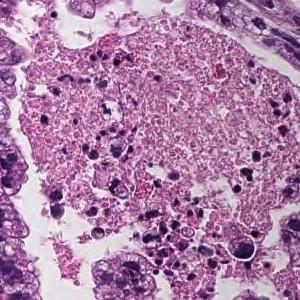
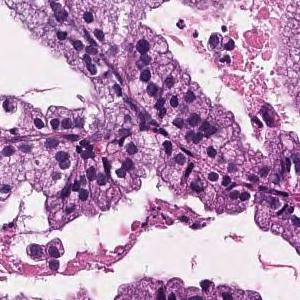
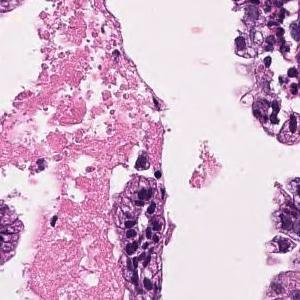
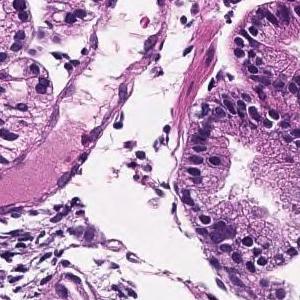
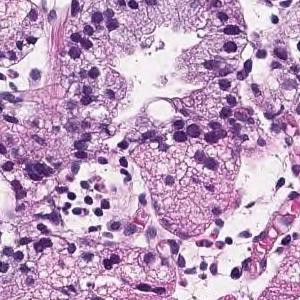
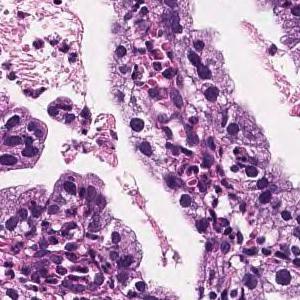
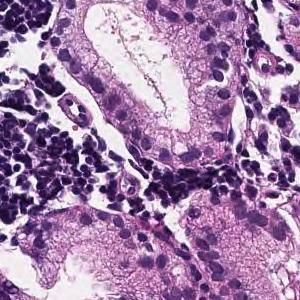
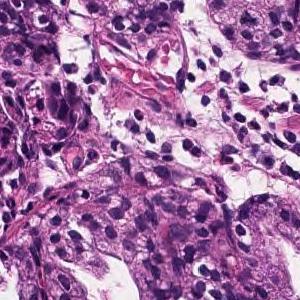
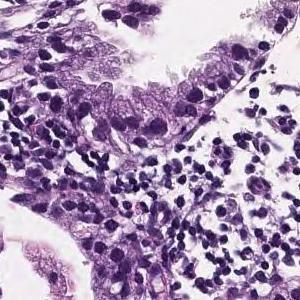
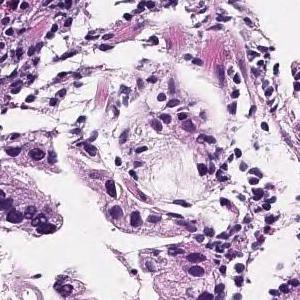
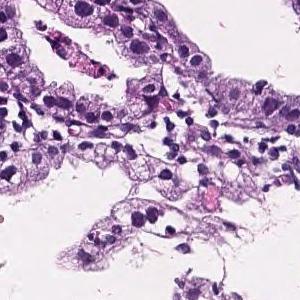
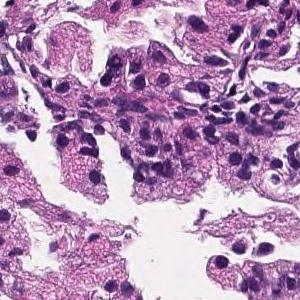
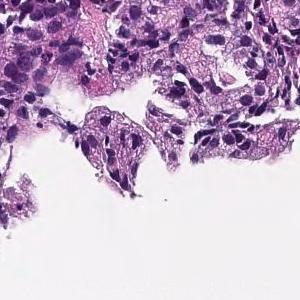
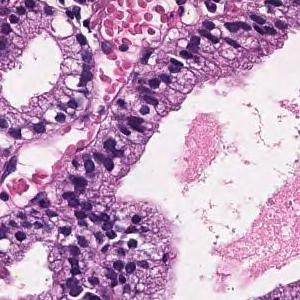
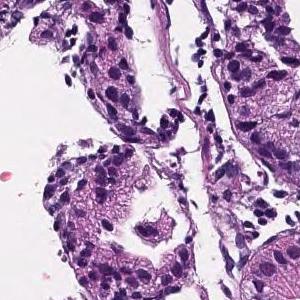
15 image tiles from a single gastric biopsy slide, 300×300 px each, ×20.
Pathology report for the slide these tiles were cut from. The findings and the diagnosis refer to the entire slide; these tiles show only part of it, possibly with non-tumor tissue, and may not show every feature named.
In the superficial epithelium, tumor tissue that infiltrates by forming medium-sized papillary or small irregular ducts is observed. Papillary adenocarcinoma
